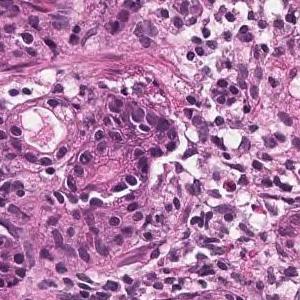
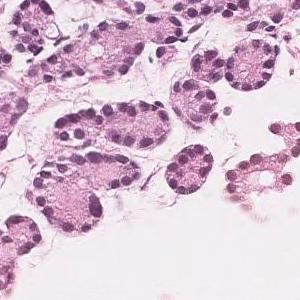
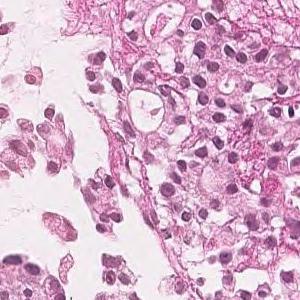
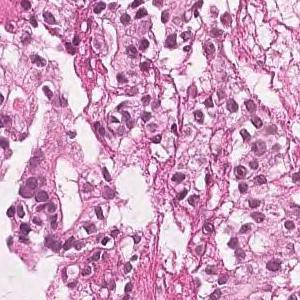
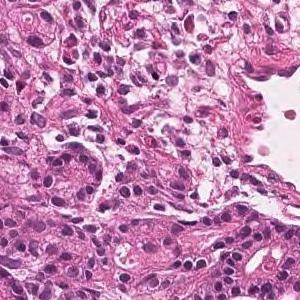
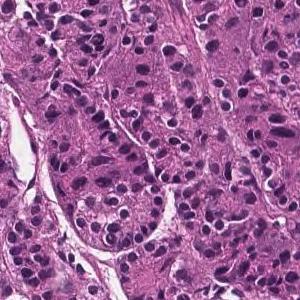
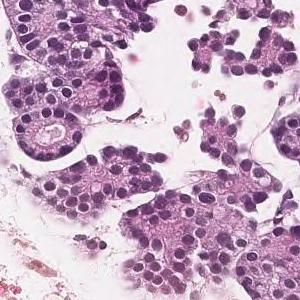
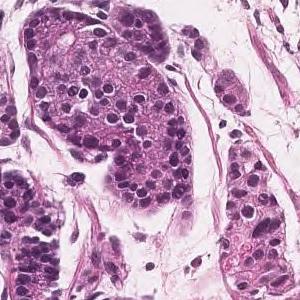
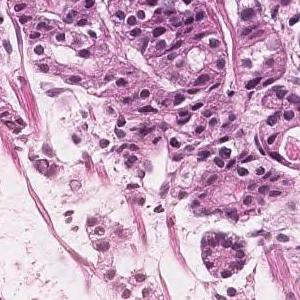
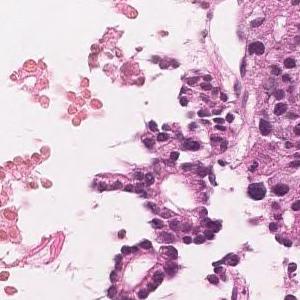
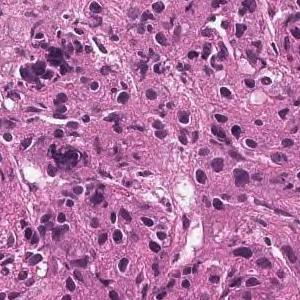
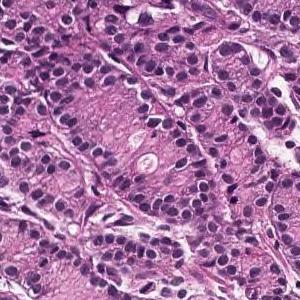
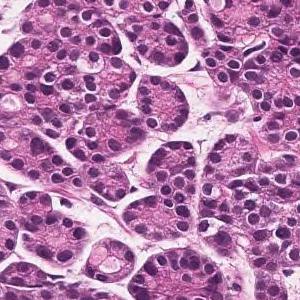
13 patches cut from one gastric biopsy slide · H&E stain.
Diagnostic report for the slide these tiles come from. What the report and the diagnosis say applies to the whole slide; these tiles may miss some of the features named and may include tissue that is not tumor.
In the superficial epithelium, tumor tissue that invades by forming medium-sized to small, irregular ducts is observed. Moderately differentiated adenocarcinoma.
Subtype: Moderately differentiated tubular adenocarcinoma.
